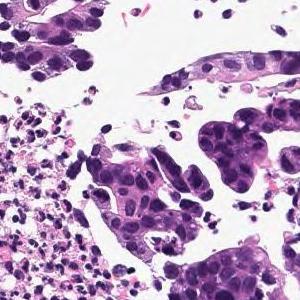
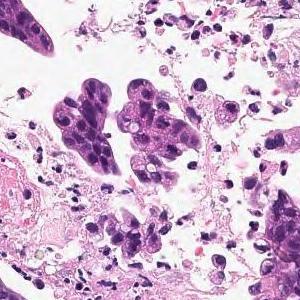
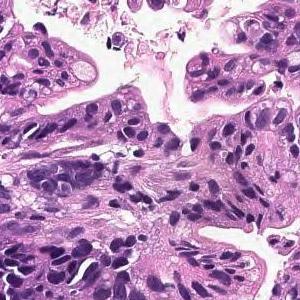
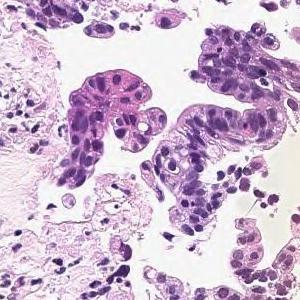
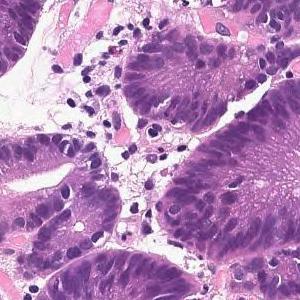
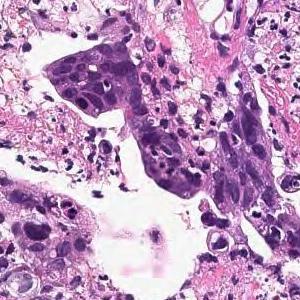
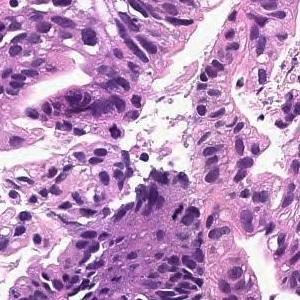
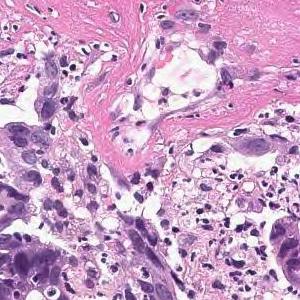
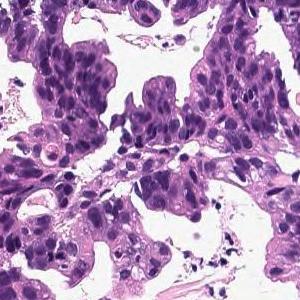
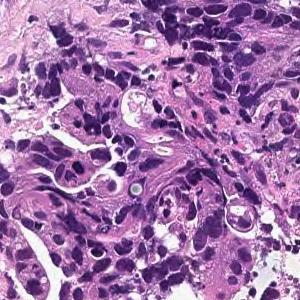
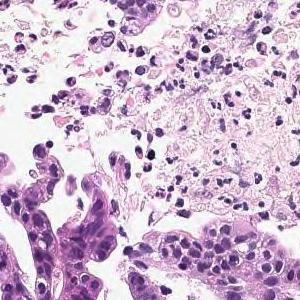
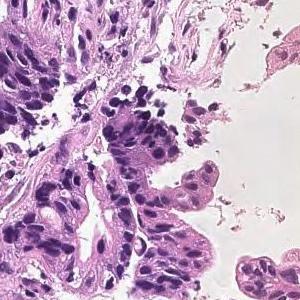
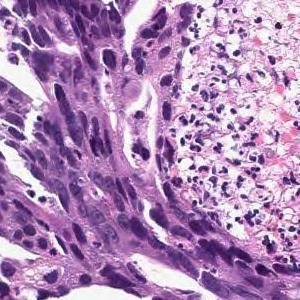
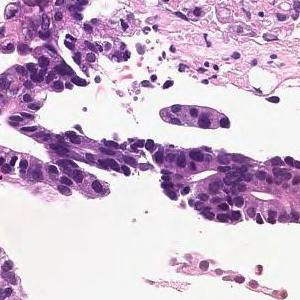
H&E stain; 14 tiles cut from one stomach biopsy slide.
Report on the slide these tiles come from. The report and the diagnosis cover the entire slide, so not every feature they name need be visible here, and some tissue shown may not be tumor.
In the superficial epithelium, tumor tissue that invades by forming medium-sized to small, irregular ducts is observed. moderately differentiated tubular adenocarcinoma.
